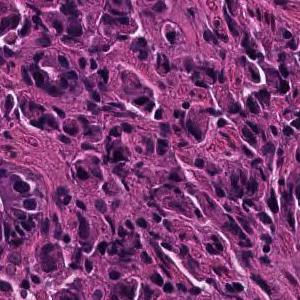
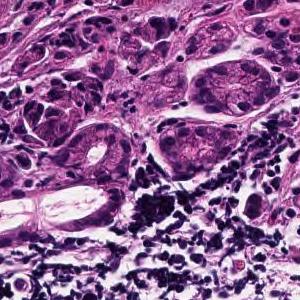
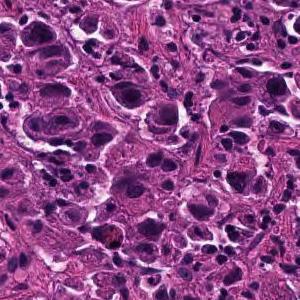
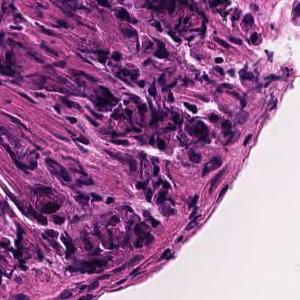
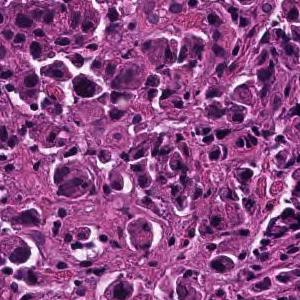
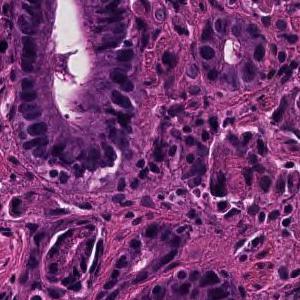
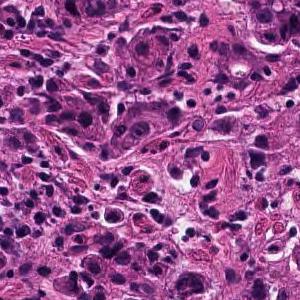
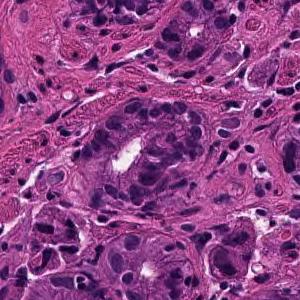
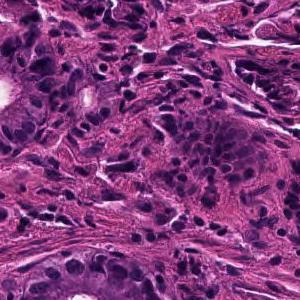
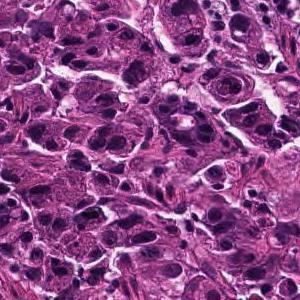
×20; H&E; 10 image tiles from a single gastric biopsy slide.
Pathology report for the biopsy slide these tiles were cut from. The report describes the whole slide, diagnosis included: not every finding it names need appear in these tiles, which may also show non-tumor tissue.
Tumor tissue consisting of cord-like or small, irregular glandular ducts fused and infiltrated is observed in the superficial epithelium. Poorly differentiated adenocarcinoma, non-solid type
The non-solid type named here is a Japanese Classification of Gastric Carcinoma category.
